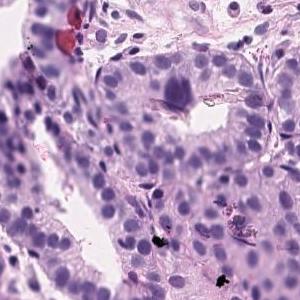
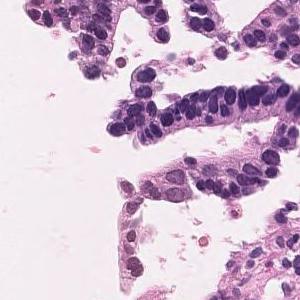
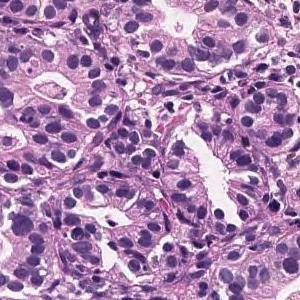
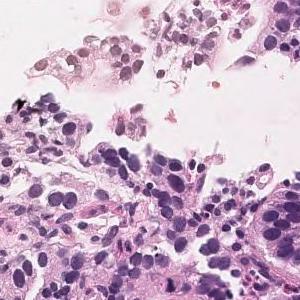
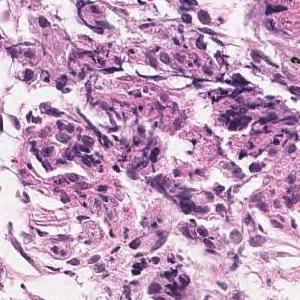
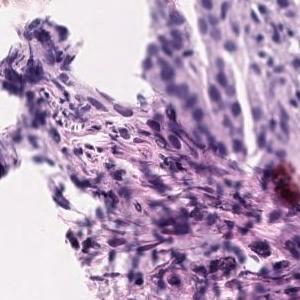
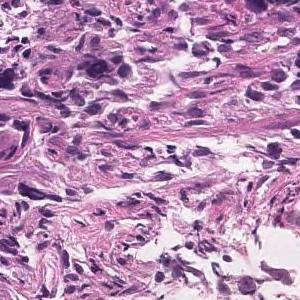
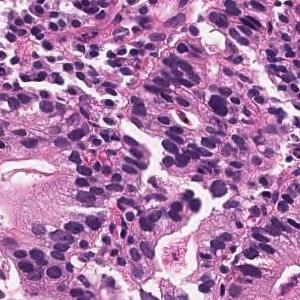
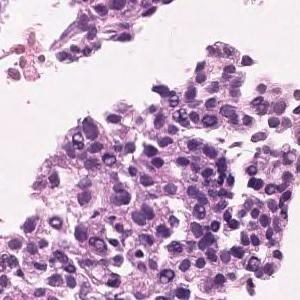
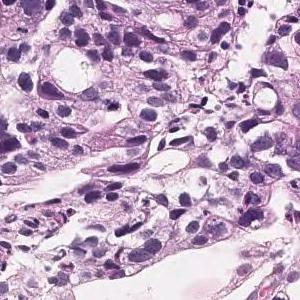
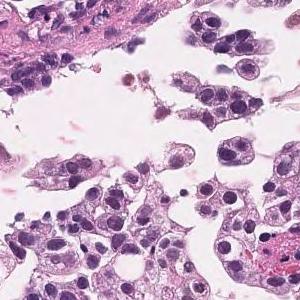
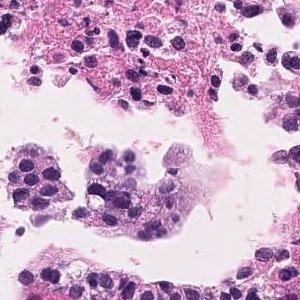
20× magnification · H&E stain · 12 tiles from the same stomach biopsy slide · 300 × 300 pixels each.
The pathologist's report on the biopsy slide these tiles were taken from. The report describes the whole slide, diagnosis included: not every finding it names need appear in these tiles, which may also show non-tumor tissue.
In the superficial epithelium, tumor tissue that invades by forming medium-sized to small, irregular ducts is observed. moderately differentiated tubular adenocarcinoma.
